H&E, 20× magnification, 5 patches cut from one gastric biopsy slide.
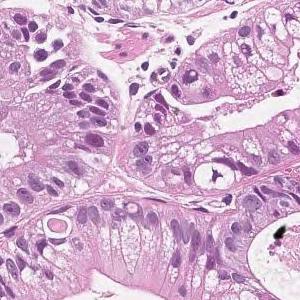
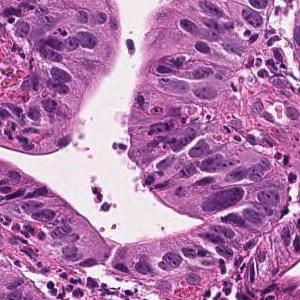
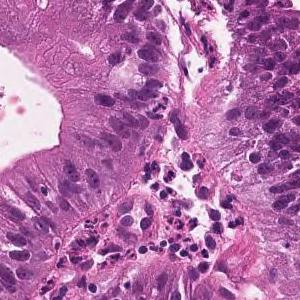
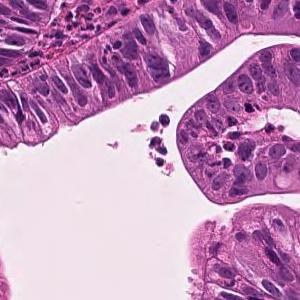
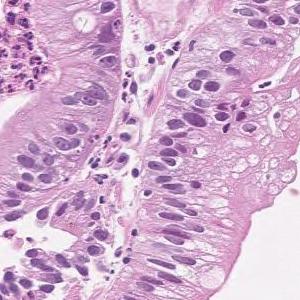
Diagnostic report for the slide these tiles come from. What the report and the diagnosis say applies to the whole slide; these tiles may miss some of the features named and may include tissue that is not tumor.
Tumor cells are large, highly columnar, large club-shaped nuclei, and are associated with chromatin aggregation. Papillary adenocarcinoma.
